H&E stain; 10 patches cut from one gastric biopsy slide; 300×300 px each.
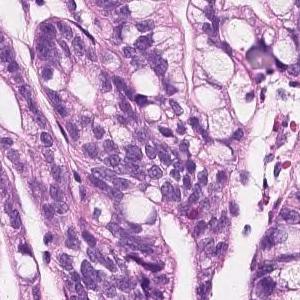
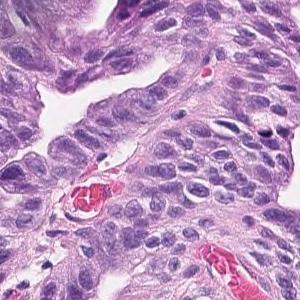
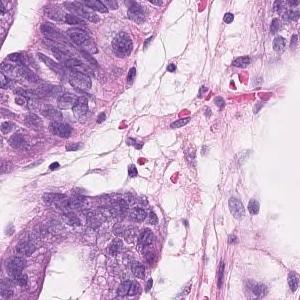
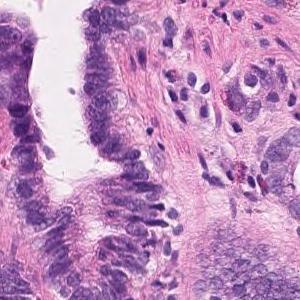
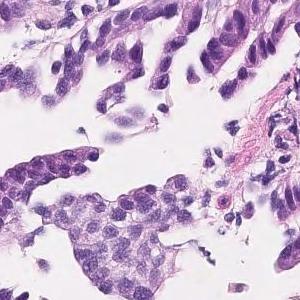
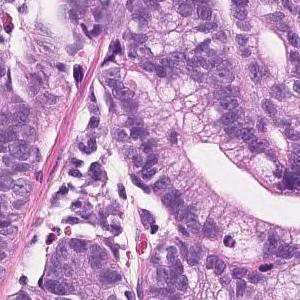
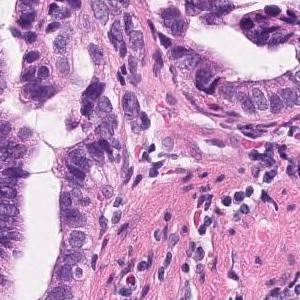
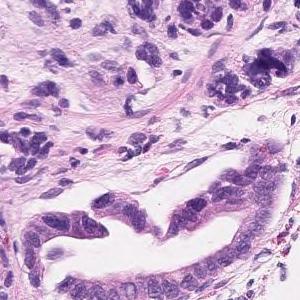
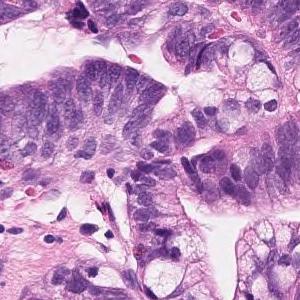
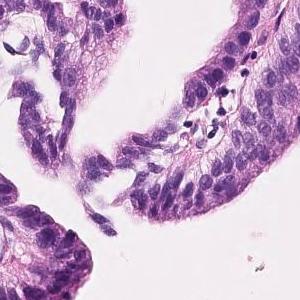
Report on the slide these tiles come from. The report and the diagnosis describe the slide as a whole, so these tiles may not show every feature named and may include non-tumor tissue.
Tumor cells are large, highly columnar, large club-shaped nuclei, and are associated with chromatin aggregation. Papillary adenocarcinoma.
